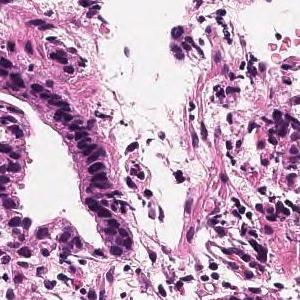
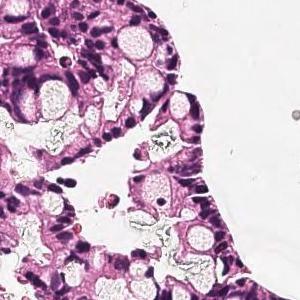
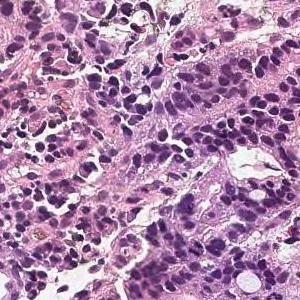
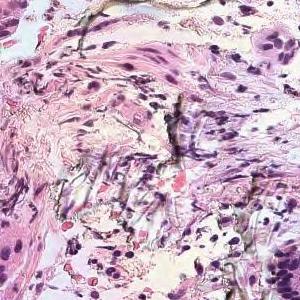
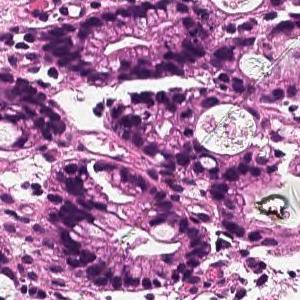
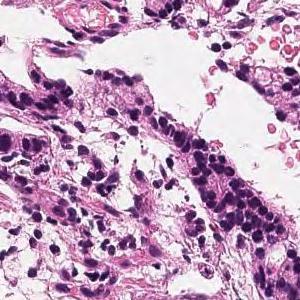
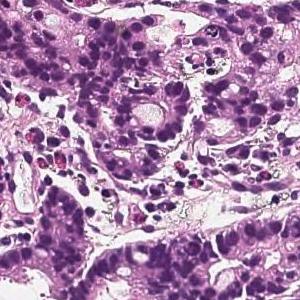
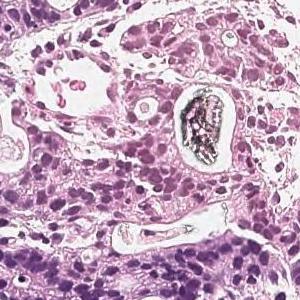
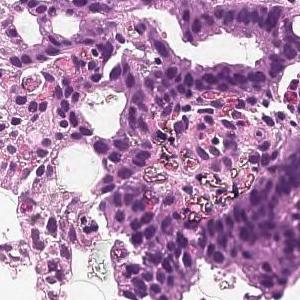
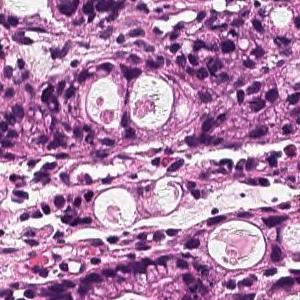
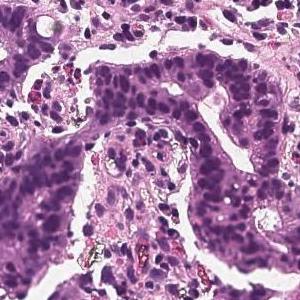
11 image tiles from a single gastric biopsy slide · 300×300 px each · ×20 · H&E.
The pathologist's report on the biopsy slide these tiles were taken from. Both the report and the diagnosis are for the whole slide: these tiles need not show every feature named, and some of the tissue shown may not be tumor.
In the superficial epithelium, tumor tissue that invades by forming medium-sized to small, irregular ducts is observed. moderately differentiated tubular adenocarcinoma.
